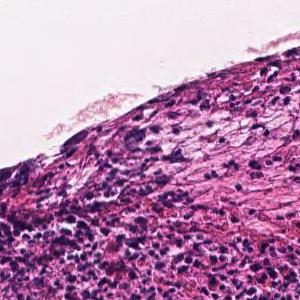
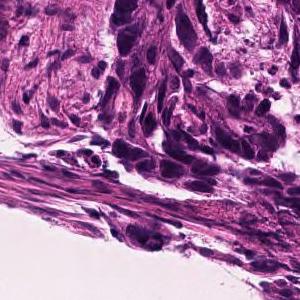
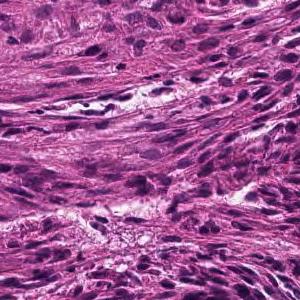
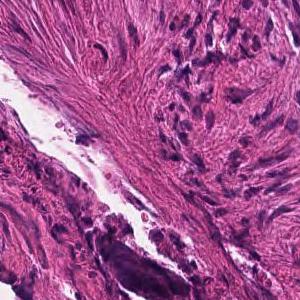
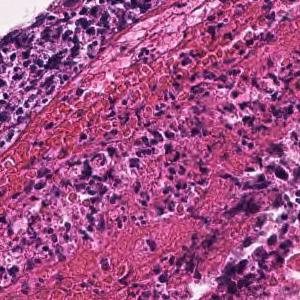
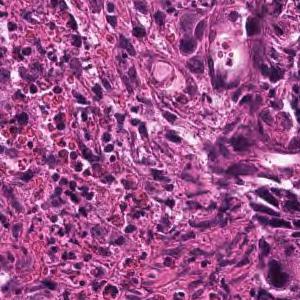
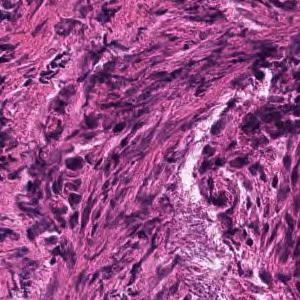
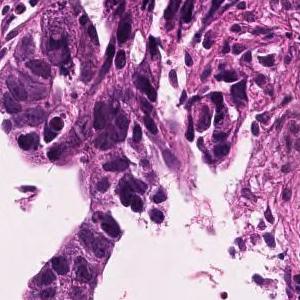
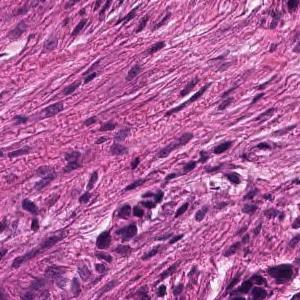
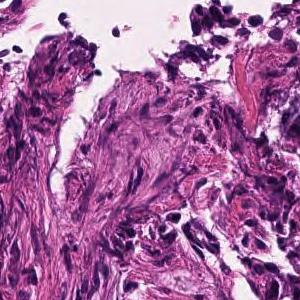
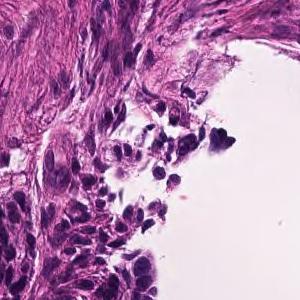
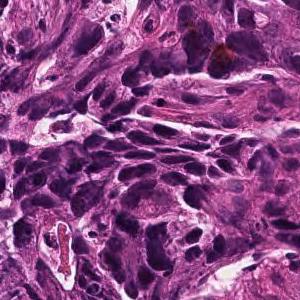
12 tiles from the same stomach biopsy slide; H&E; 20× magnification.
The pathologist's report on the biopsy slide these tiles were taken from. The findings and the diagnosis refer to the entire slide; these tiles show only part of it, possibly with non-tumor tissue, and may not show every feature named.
In the superficial epithelium, tumor tissue that invades by forming medium-sized to small, irregular ducts is observed. moderately differentiated tubular adenocarcinoma.
